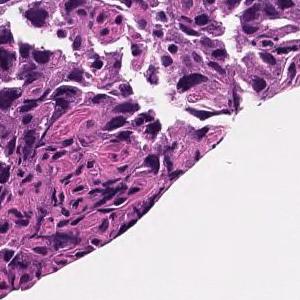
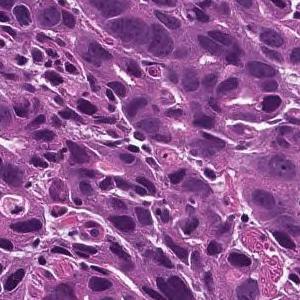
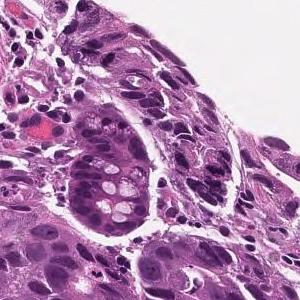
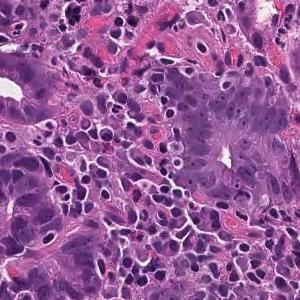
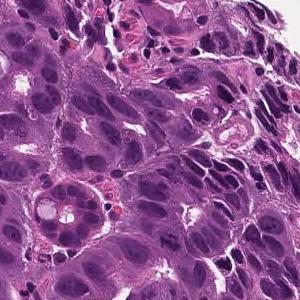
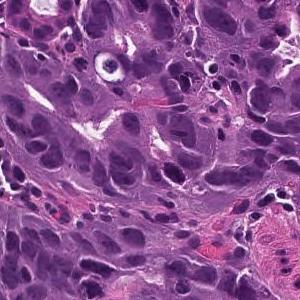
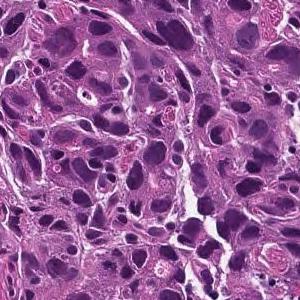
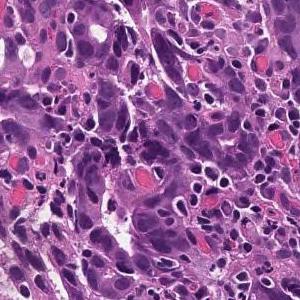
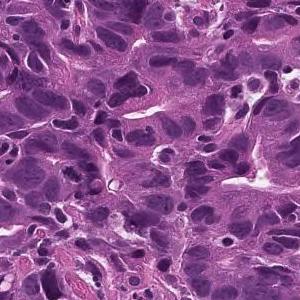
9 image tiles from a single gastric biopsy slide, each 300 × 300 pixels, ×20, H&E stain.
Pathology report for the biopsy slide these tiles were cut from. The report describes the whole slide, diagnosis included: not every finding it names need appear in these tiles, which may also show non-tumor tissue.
On the superficial epithelium, tumor tissue is found in which medium-sized irregular gland ducts fuse with each other and infiltrate. moderately differentiated tubular adenocarcinoma
